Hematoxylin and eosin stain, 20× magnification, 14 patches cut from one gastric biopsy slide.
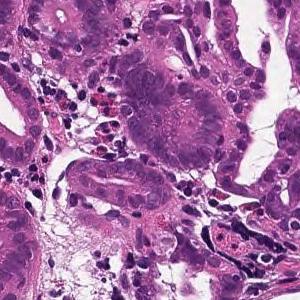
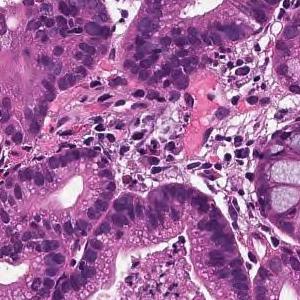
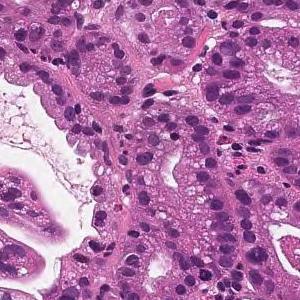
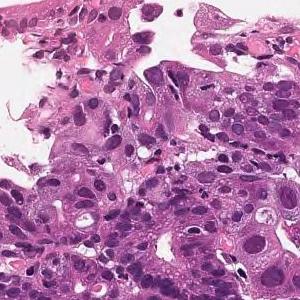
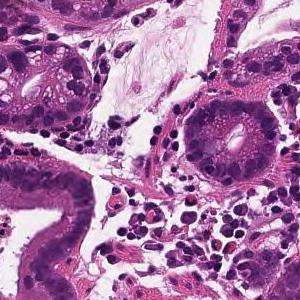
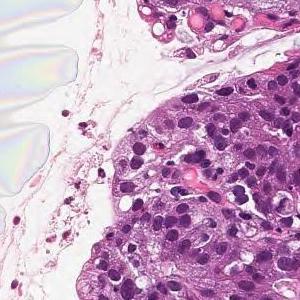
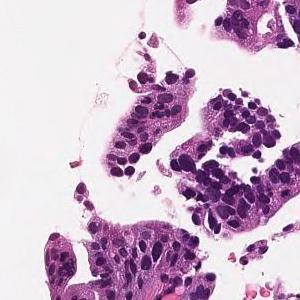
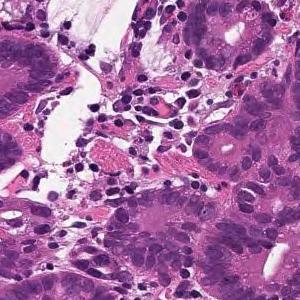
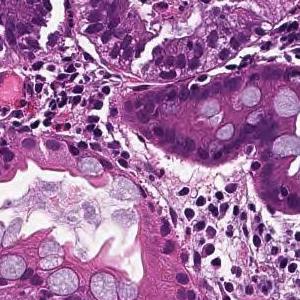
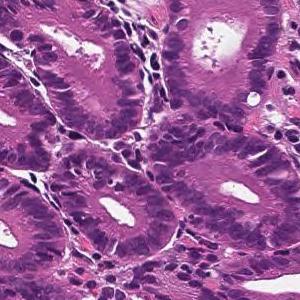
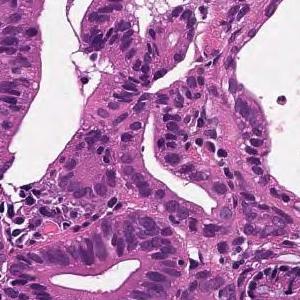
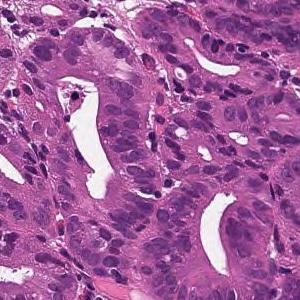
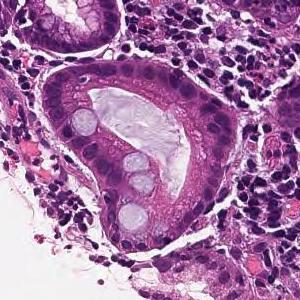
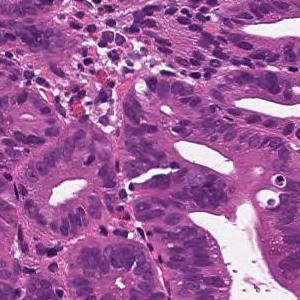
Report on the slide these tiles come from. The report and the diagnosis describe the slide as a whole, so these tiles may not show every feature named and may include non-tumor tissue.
In the superficial epithelium, tumor tissue that invades by forming medium-sized to small, irregular ducts is observed. moderately differentiated tubular adenocarcinoma.
